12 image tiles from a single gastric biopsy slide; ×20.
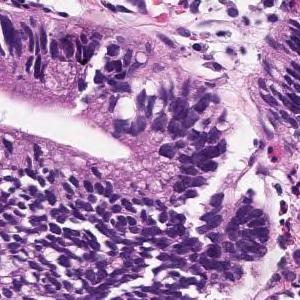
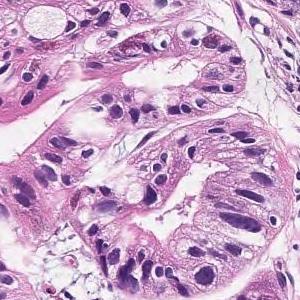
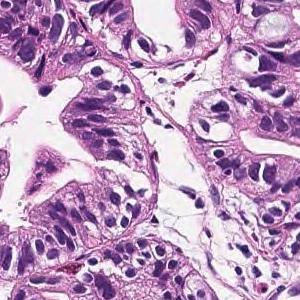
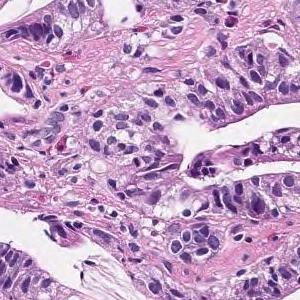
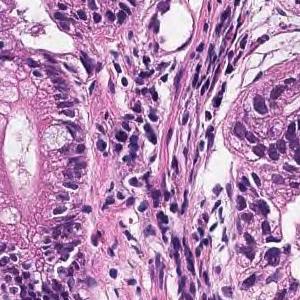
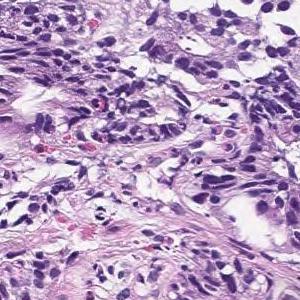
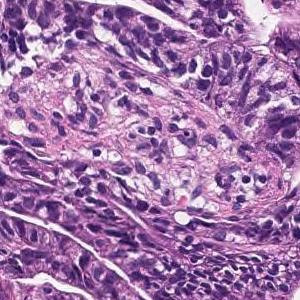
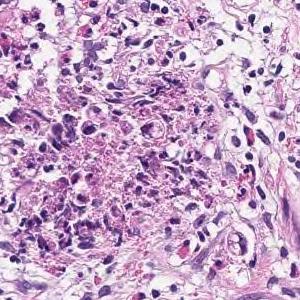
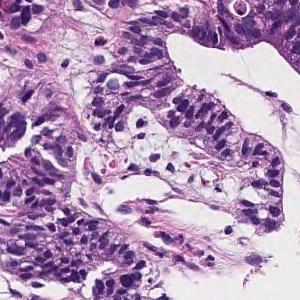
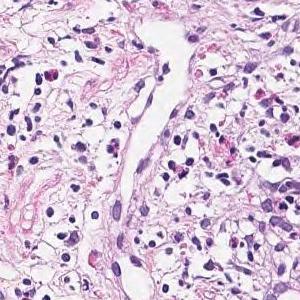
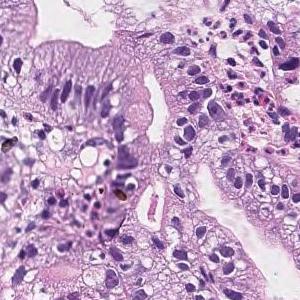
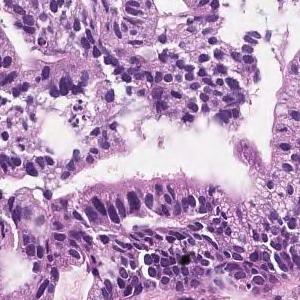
Pathology report for the slide these tiles were cut from. The report describes the whole slide, diagnosis included: not every finding it names need appear in these tiles, which may also show non-tumor tissue.
In the superficial epithelium, tumor tissue that invades by forming medium-sized to small, irregular ducts is observed. Moderately differentiated adenocarcinoma.
Histologic type: Moderately differentiated tubular adenocarcinoma.
